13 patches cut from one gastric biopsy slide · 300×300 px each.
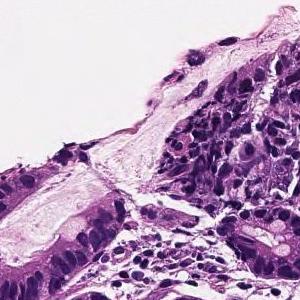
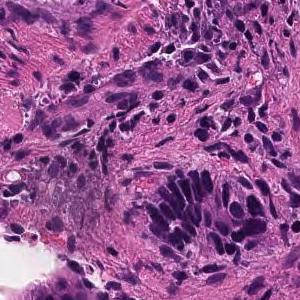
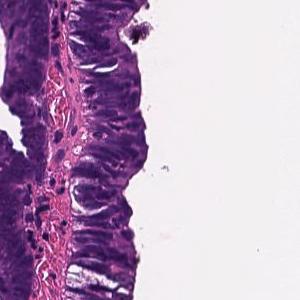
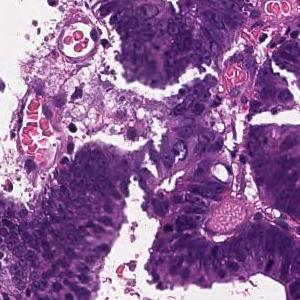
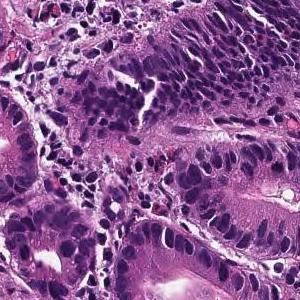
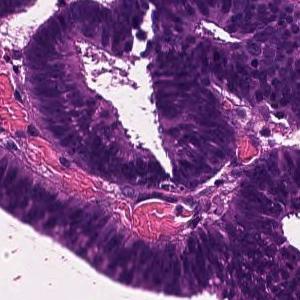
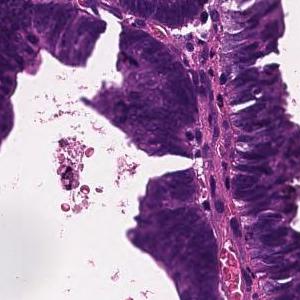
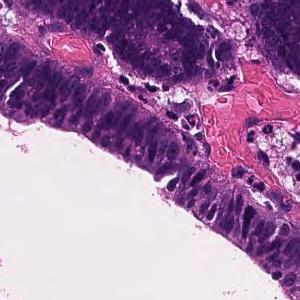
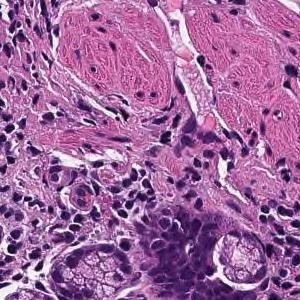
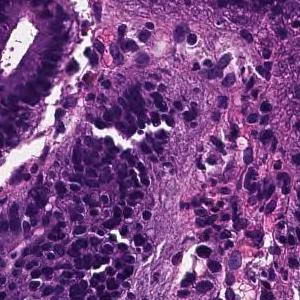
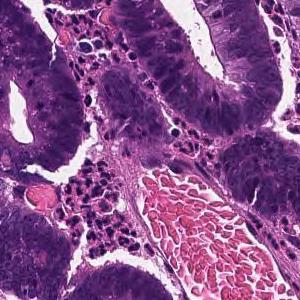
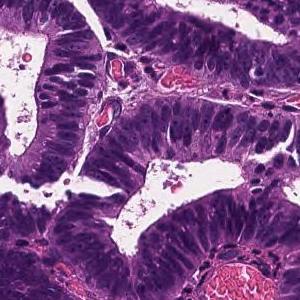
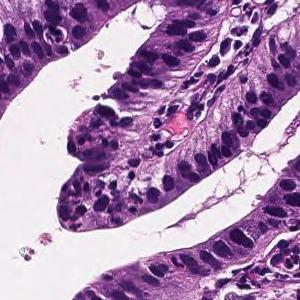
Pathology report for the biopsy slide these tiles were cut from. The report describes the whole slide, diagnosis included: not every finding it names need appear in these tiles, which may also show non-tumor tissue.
Tumor tissue consisting of large papillary structures is found in the superficial epithelium. Papillary adenocarcinoma.
